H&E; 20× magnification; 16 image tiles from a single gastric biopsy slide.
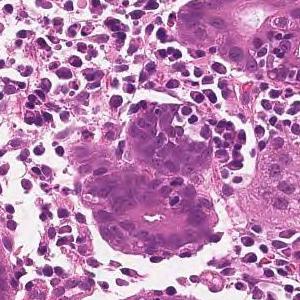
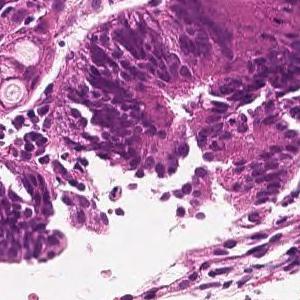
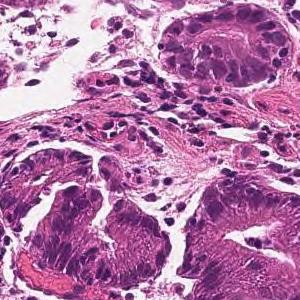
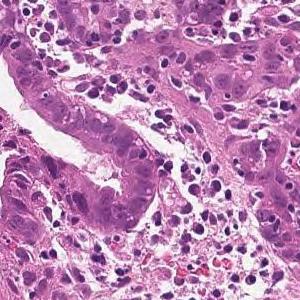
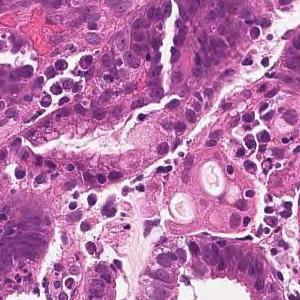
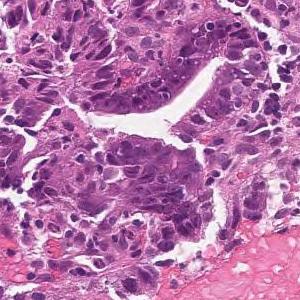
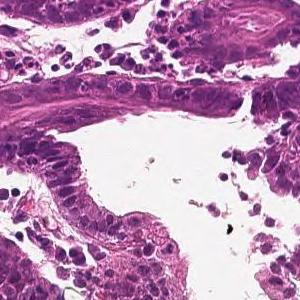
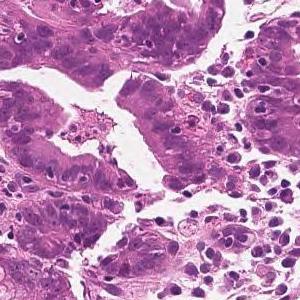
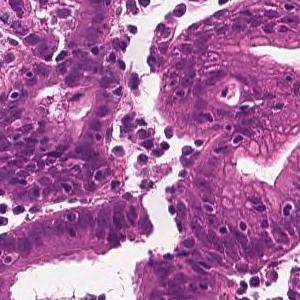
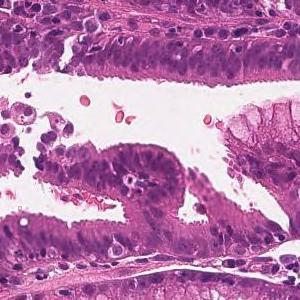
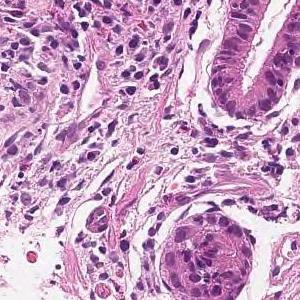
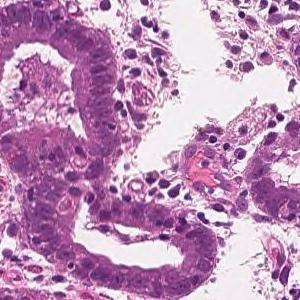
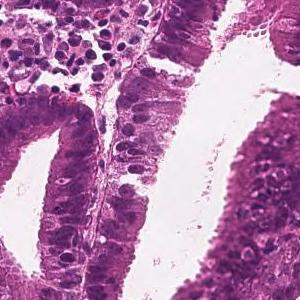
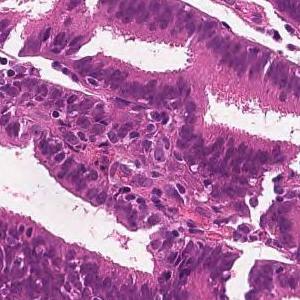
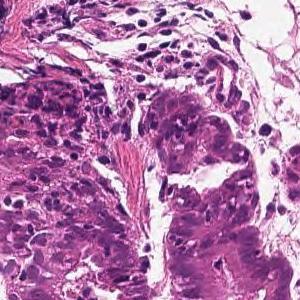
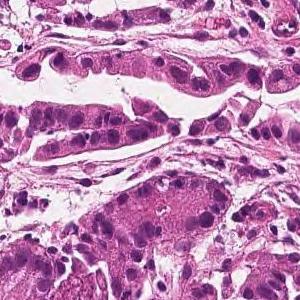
Report on the slide these tiles come from. The report and the diagnosis cover the entire slide, so not every feature they name need be visible here, and some tissue shown may not be tumor.
On the superficial epithelium, tumor tissue is found in which medium-sized irregular gland ducts fuse with each other and infiltrate. moderately differentiated tubular adenocarcinoma
